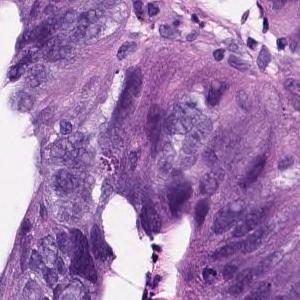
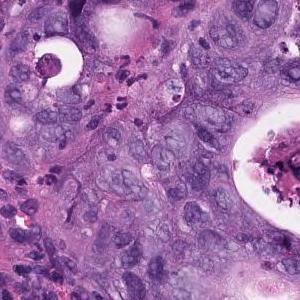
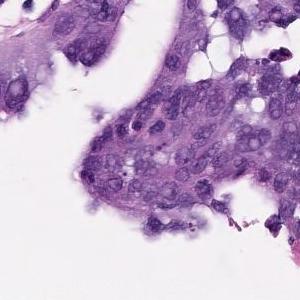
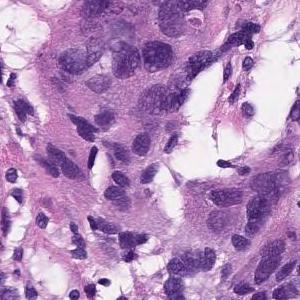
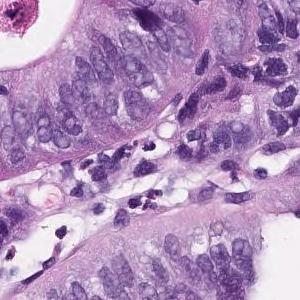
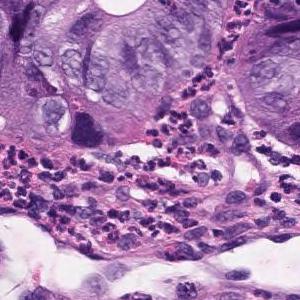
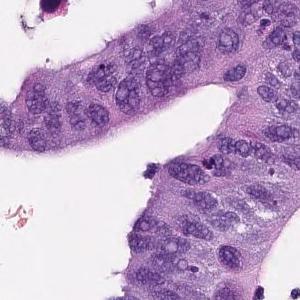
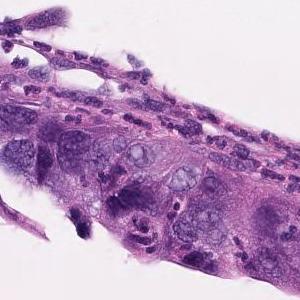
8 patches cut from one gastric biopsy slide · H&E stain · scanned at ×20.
Report on the slide these tiles come from. What the report and the diagnosis say applies to the whole slide; these tiles may miss some of the features named and may include tissue that is not tumor.
In the superficial epithelium, tumor tissue that invades by forming medium-sized to small, irregular ducts is observed. Moderately differentiated adenocarcinoma.
Classified as moderately differentiated tubular adenocarcinoma.
